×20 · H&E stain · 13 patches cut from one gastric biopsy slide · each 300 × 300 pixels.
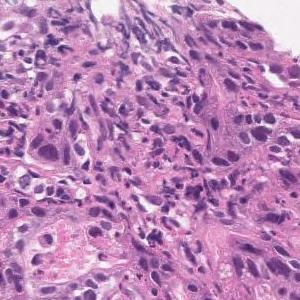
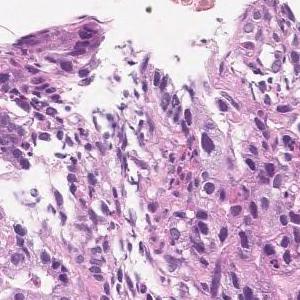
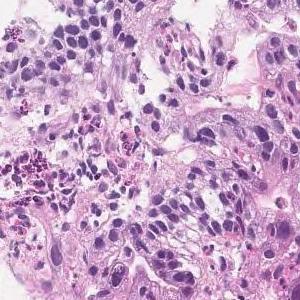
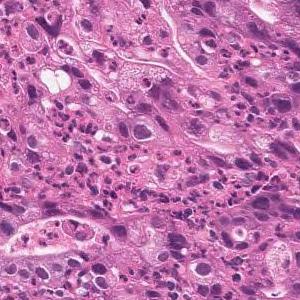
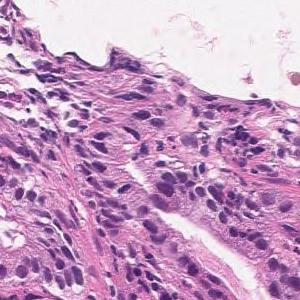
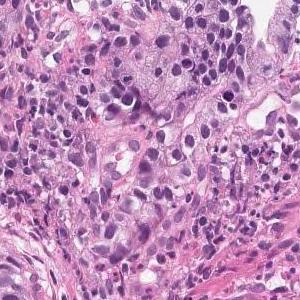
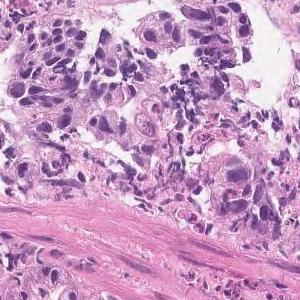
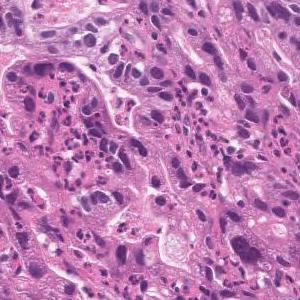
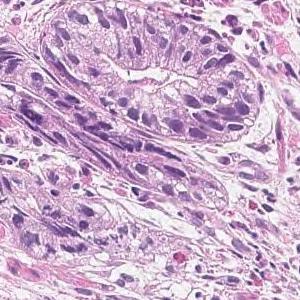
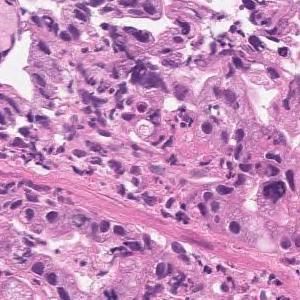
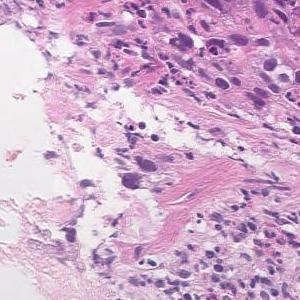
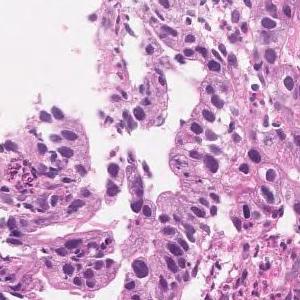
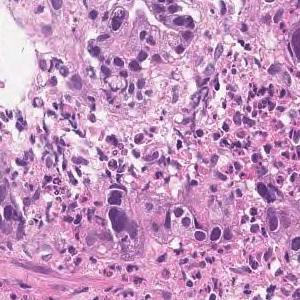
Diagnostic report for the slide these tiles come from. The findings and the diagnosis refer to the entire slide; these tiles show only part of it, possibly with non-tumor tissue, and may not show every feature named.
In the superficial epithelium, tumor tissue that invades by forming medium-sized to small, irregular ducts is observed. Moderately differentiated adenocarcinoma.
Classified as moderately differentiated tubular adenocarcinoma.
